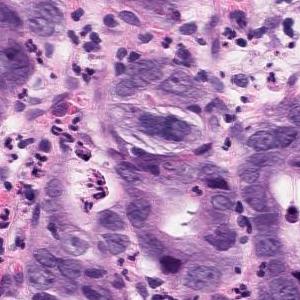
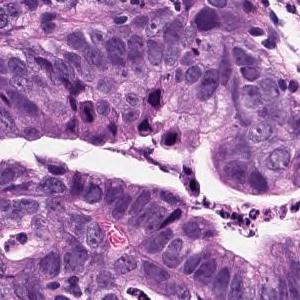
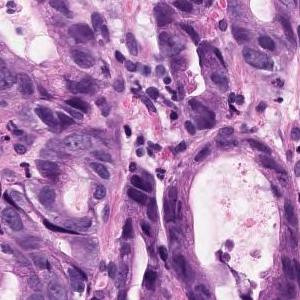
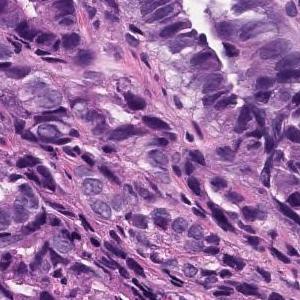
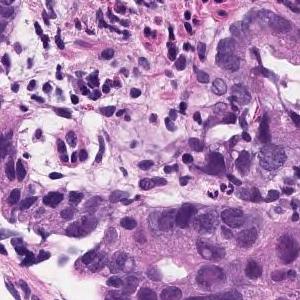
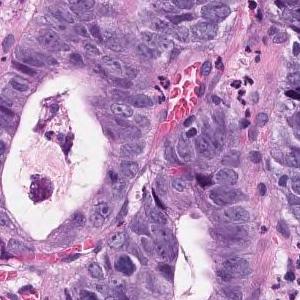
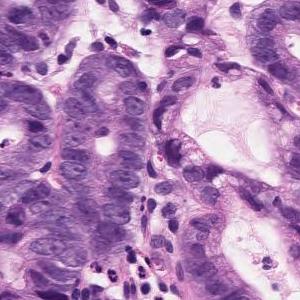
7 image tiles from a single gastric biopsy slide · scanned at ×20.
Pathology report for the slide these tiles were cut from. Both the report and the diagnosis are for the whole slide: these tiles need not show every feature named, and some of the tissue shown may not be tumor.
The swollen atypical epithelium of the nucleus forms an irregular ductal structure and proliferates. moderately differentiated tubular adenocarcinoma
